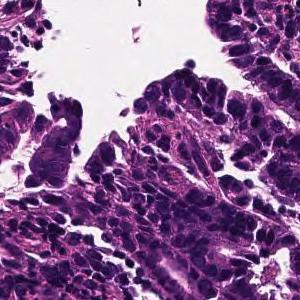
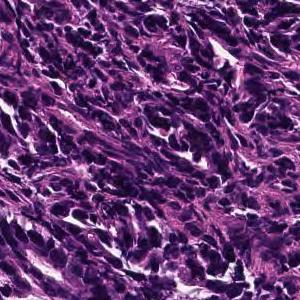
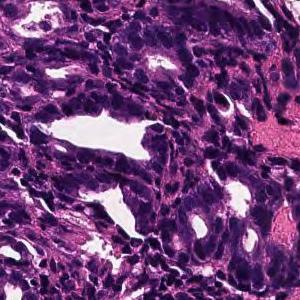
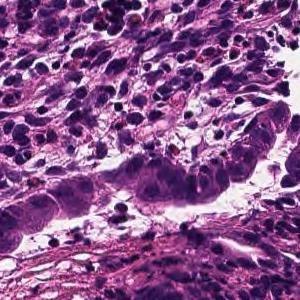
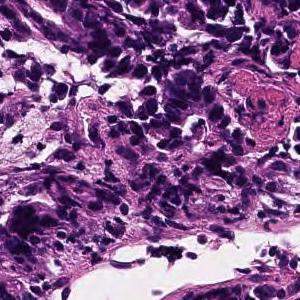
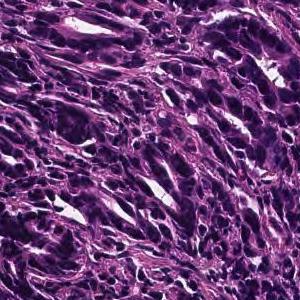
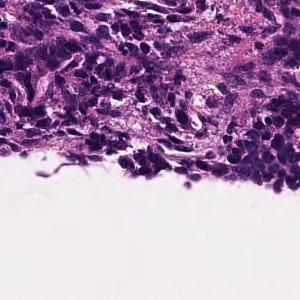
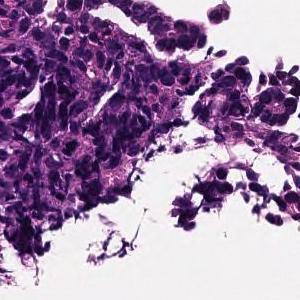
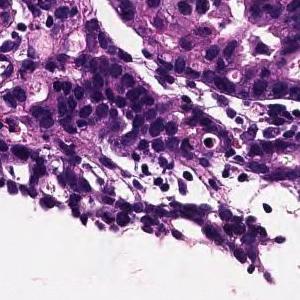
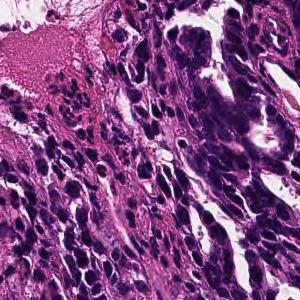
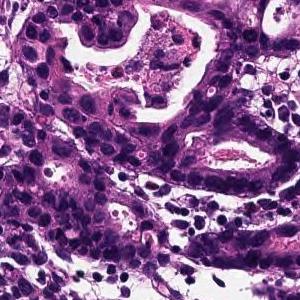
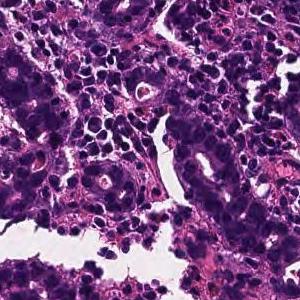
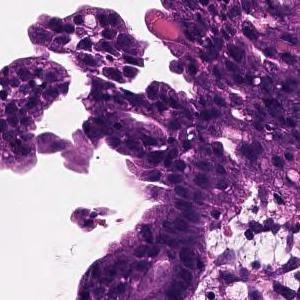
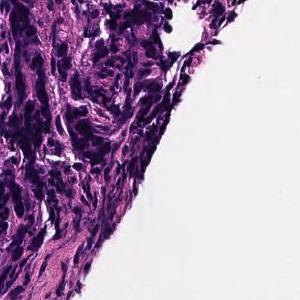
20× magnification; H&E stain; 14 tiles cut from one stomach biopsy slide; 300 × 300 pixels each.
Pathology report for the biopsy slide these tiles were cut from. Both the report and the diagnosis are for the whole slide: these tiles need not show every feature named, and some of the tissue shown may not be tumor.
On the superficial epithelium, tumor tissue is found in which medium-sized irregular gland ducts fuse with each other and infiltrate. moderately differentiated tubular adenocarcinoma or Poorly differentiated adenocarcinoma, non-solid type
Histological subtype: Moderately to poorly differentiated adenocarcinoma.
The non-solid type named here is a Japanese Classification of Gastric Carcinoma category.
